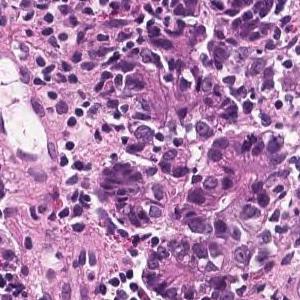
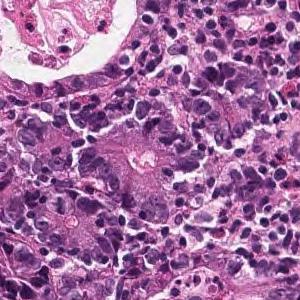
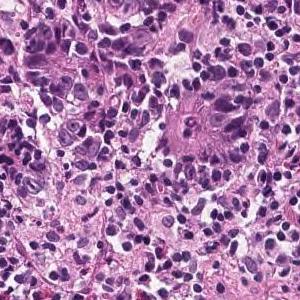
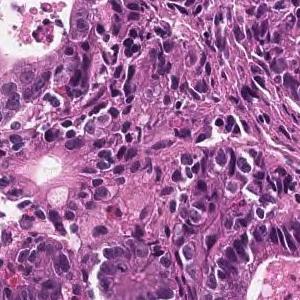
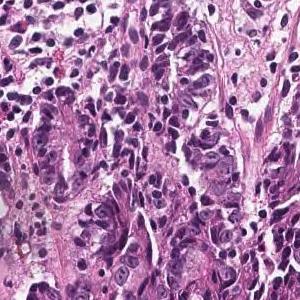
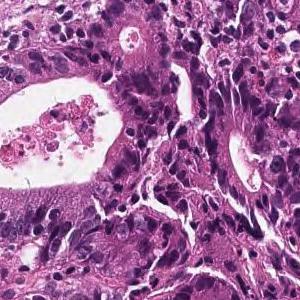
6 patches cut from one gastric biopsy slide, H&E, 20× magnification.
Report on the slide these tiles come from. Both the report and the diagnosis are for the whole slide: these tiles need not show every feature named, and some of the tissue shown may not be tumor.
In the superficial epithelium, tumor tissue that invades by forming medium-sized to small, irregular ducts is observed. Moderately differentiated adenocarcinoma.
Histological subtype: Moderately differentiated tubular adenocarcinoma.
